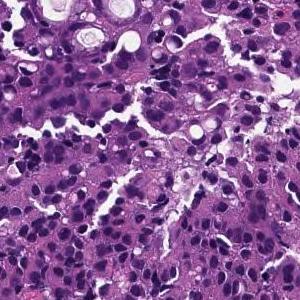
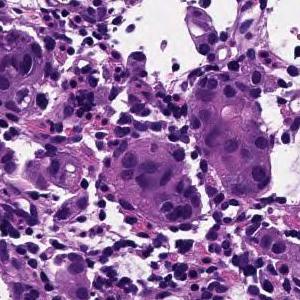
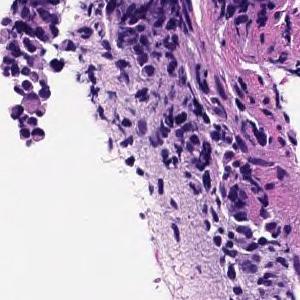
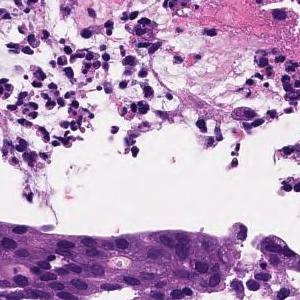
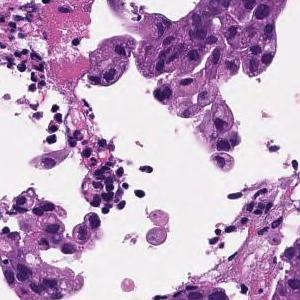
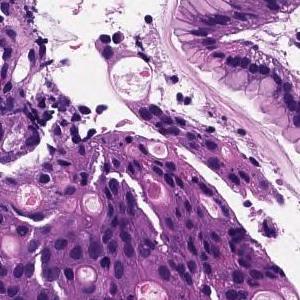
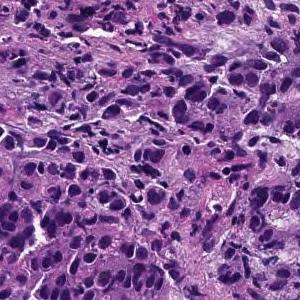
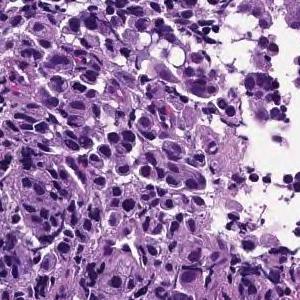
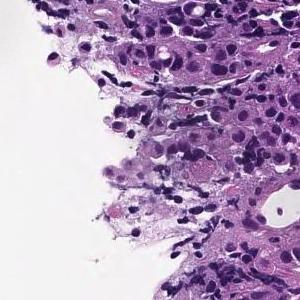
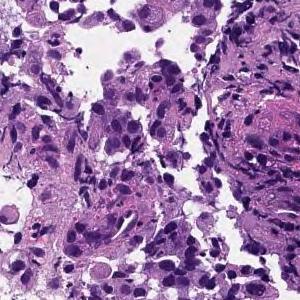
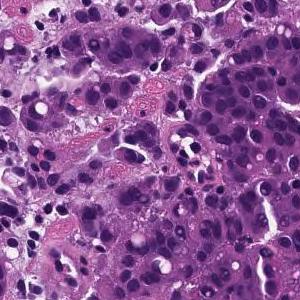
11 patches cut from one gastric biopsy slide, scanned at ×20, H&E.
Report on the slide these tiles come from. The findings and the diagnosis refer to the entire slide; these tiles show only part of it, possibly with non-tumor tissue, and may not show every feature named.
The superficial epithelium shows a large sheet-like shape, and some tumor tissue infiltrates with small irregular ducts. Poorly differentiated adenocarcinoma, solid-type
Classified as poorly differentiated adenocarcinoma, solid type (Japanese Classification of Gastric Carcinoma). The WHO 2019 equivalent is tubular adenocarcinoma, poorly differentiated.
